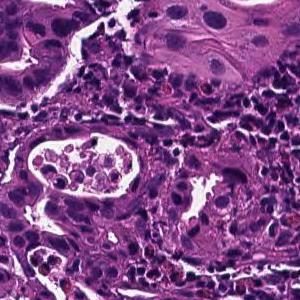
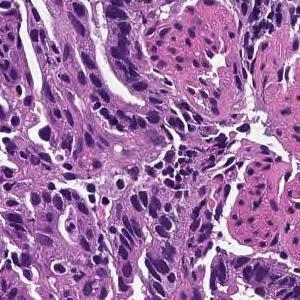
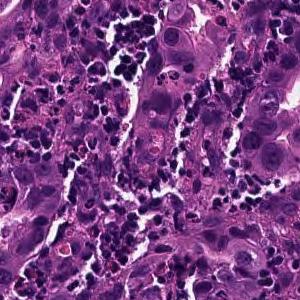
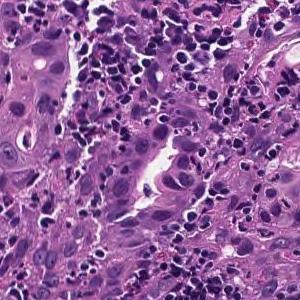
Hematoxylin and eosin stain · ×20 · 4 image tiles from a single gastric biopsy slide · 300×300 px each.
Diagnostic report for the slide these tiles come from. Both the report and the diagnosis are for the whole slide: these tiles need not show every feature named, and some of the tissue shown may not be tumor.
In the superficial epithelium, tumor tissue that invades by forming medium-sized to small, irregular ducts is observed. moderately differentiated tubular adenocarcinoma.
